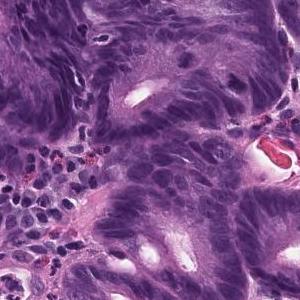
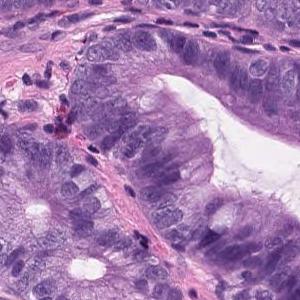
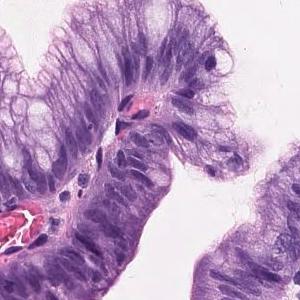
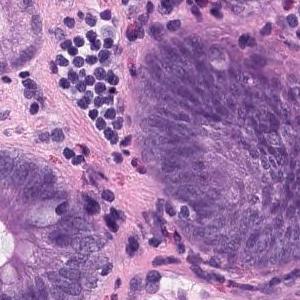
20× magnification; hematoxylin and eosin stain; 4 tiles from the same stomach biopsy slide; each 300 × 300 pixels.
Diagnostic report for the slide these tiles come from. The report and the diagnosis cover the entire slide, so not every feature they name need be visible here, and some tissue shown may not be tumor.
On the superficial epithelium, tumor tissue with densely growing medium to large, round tubules is observed. Tumor cells are highly columnar, with nuclei aligned basolaterally and polarized. Well differentiated tubular adenocarcinoma
